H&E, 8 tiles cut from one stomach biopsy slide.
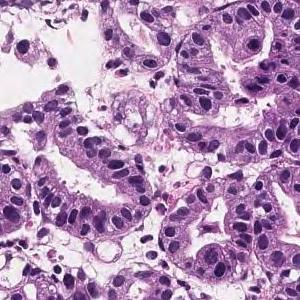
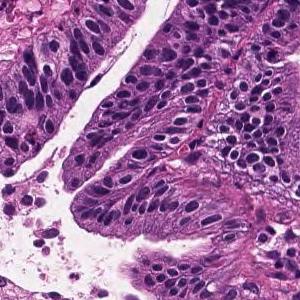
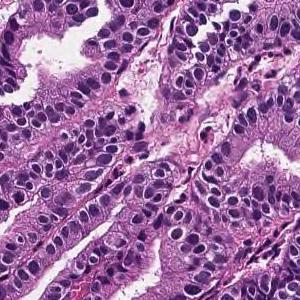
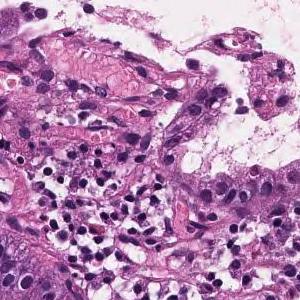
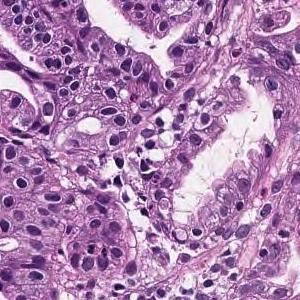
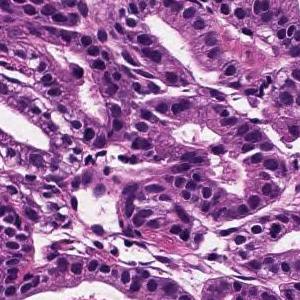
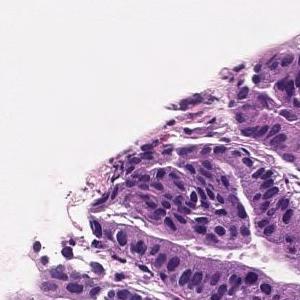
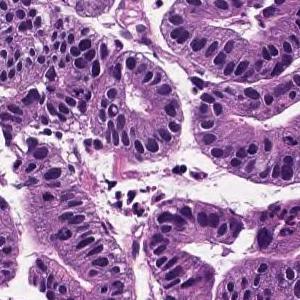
Pathology report for the biopsy slide these tiles were cut from. What the report and the diagnosis say applies to the whole slide; these tiles may miss some of the features named and may include tissue that is not tumor.
On the superficial epithelium, tumor tissue that infiltrates by forming medium-sized round or small irregular ducts is observed. Papillary adenocarcinoma
